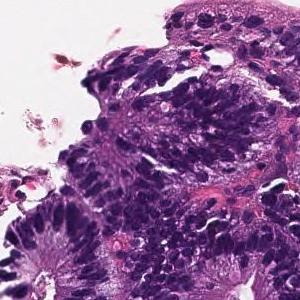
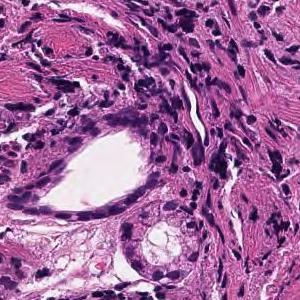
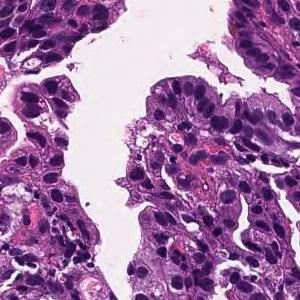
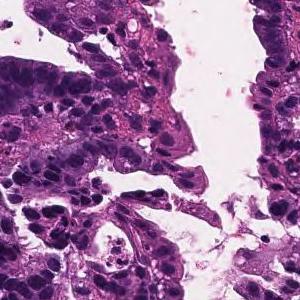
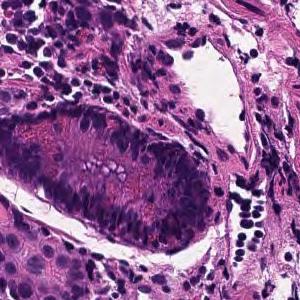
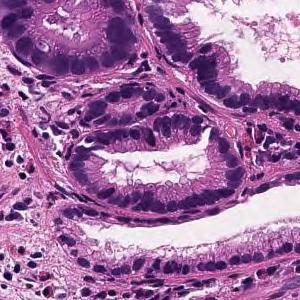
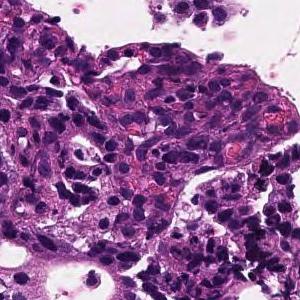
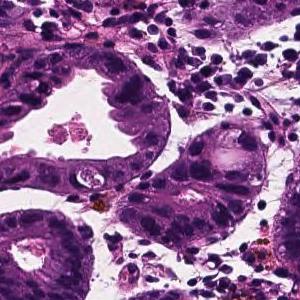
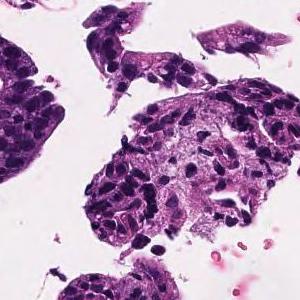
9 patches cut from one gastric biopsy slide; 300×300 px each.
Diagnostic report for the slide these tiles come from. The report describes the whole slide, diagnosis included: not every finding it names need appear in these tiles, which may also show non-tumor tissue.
From the superficial epithelium to the muscularis mucosae, tumor tissue consisting of medium-sized and irregular glandular ducts infiltrating is observed. Well differentiated tubular adenocarcinoma
